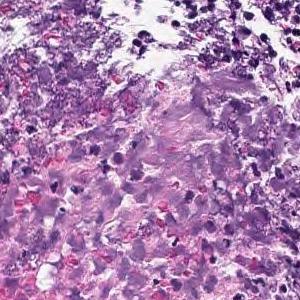
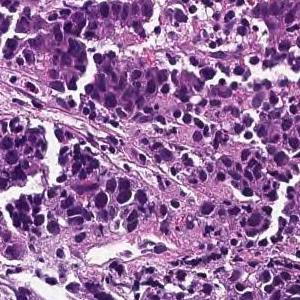
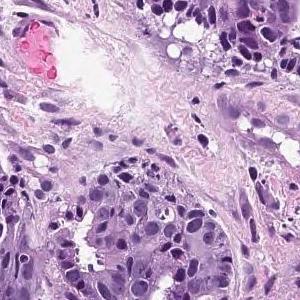
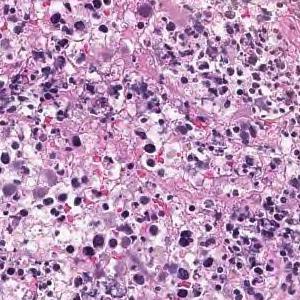
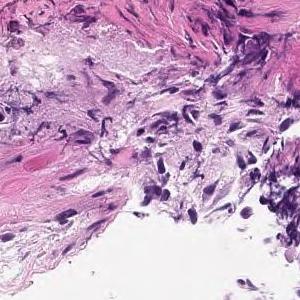
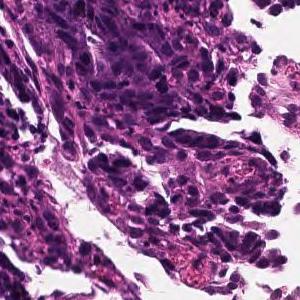
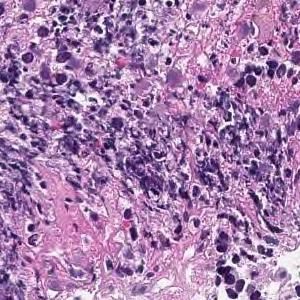
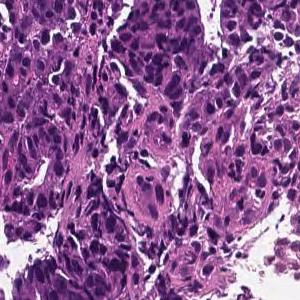
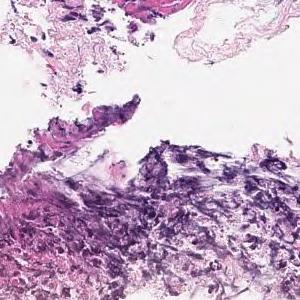
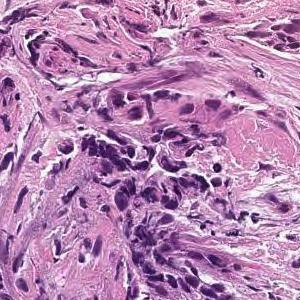
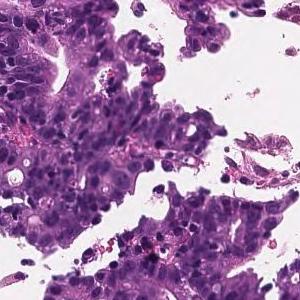
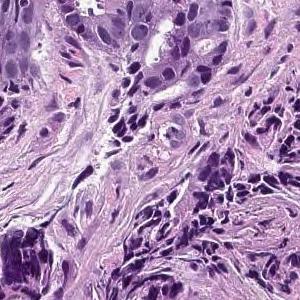
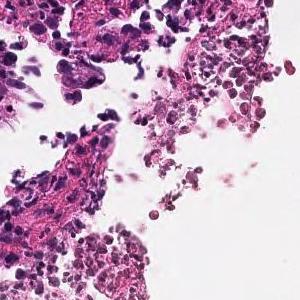
13 image tiles from a single gastric biopsy slide · 300 × 300 pixels each · H&E.
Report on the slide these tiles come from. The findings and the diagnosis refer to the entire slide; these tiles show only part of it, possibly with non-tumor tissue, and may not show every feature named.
In the superficial epithelium, tumor tissue that invades by forming medium-sized to small, irregular ducts is observed. moderately differentiated tubular adenocarcinoma.
